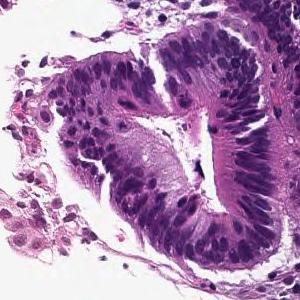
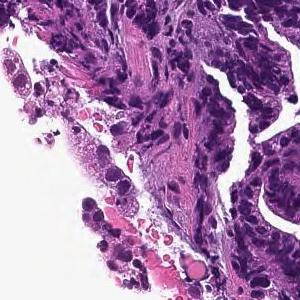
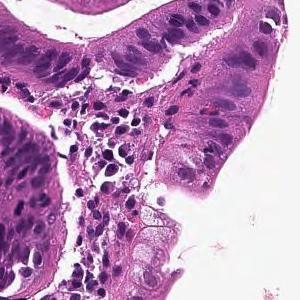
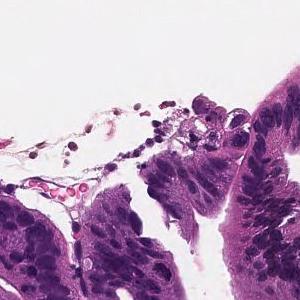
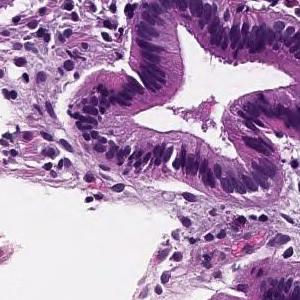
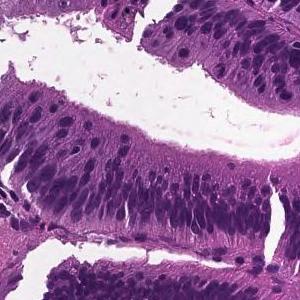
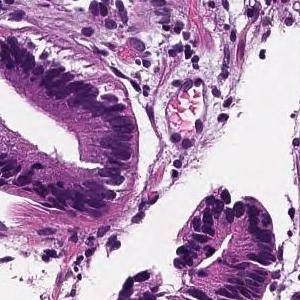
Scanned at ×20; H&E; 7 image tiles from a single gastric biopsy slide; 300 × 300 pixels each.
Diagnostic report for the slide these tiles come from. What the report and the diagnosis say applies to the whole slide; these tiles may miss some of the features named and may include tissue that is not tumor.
From the superficial epithelium to the muscularis mucosae, tumor tissue consisting of medium-sized and irregular glandular ducts infiltrating is observed. Well differentiated tubular adenocarcinoma
